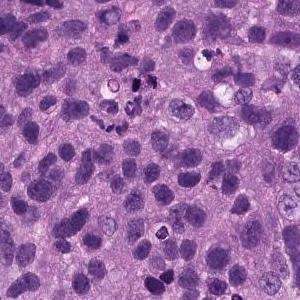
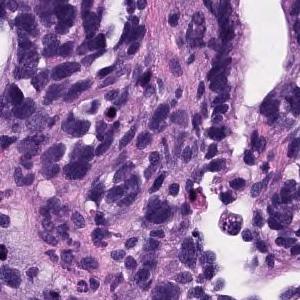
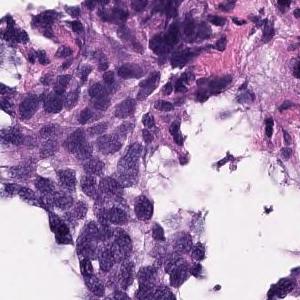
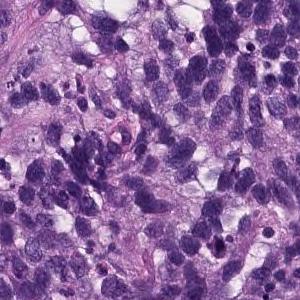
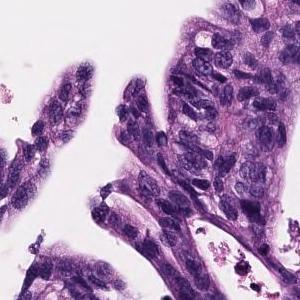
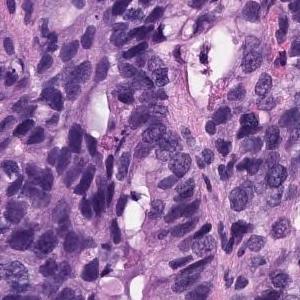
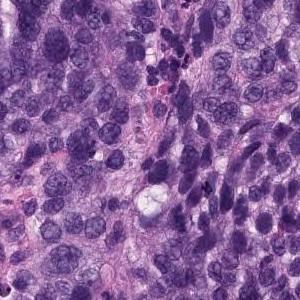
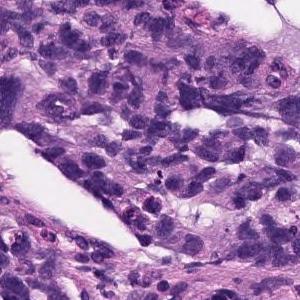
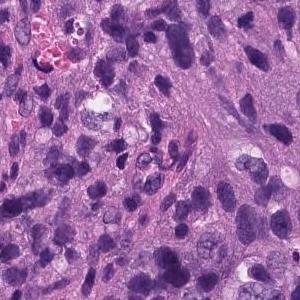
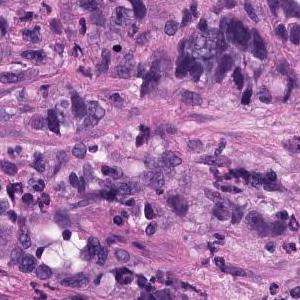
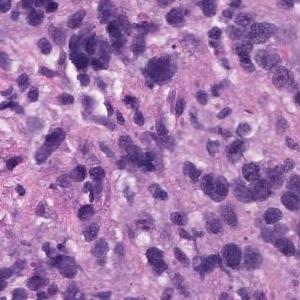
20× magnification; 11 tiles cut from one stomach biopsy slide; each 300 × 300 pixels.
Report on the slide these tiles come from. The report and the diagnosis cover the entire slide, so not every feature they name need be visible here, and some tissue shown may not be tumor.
Atypical l cells with atypical nuclei under the mucosa growing in isolation and scattered. Poorly differentiated adenocarcinoma (poorly differentiated adenocarcinoma, non-solid type)
Histological subtype: Poorly differentiated adenocarcinoma, non-solid type.
"Non-solid type" is a category of the Japanese Classification of Gastric Carcinoma.
